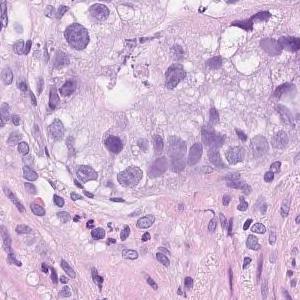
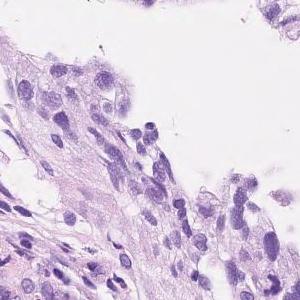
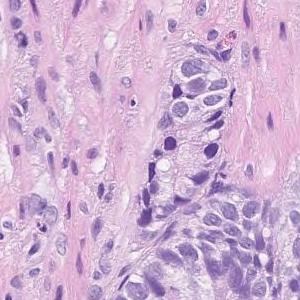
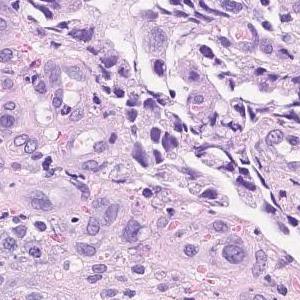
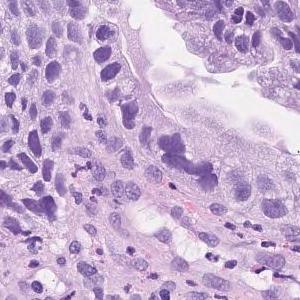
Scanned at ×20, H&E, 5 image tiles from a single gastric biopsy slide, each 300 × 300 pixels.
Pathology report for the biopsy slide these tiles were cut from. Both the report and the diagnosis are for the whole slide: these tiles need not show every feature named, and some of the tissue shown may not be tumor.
Atypical l cells with atypical nuclei forming solid or diffuse vesicles or small irregular atypical ducts and growing in a complex manner. moderately differentiated tubular adenocarcinoma
